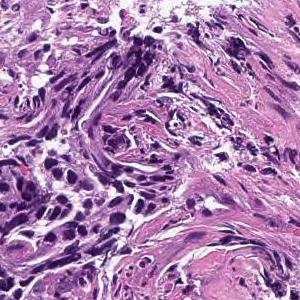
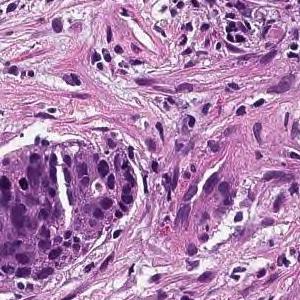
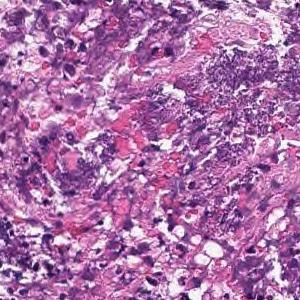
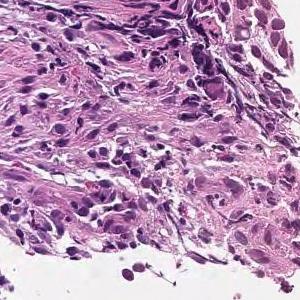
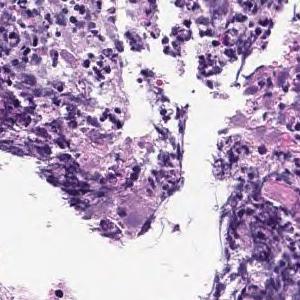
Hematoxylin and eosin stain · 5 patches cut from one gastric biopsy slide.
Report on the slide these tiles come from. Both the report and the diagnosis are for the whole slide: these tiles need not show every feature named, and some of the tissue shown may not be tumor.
In the superficial epithelium, tumor tissue that invades by forming medium-sized to small, irregular ducts is observed. moderately differentiated tubular adenocarcinoma.
